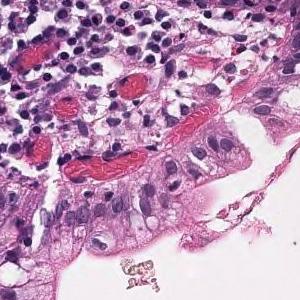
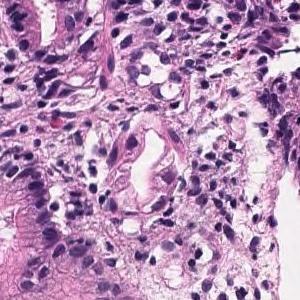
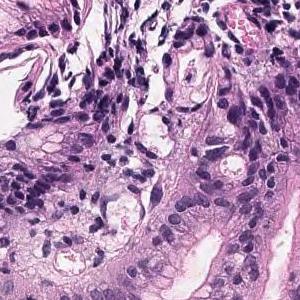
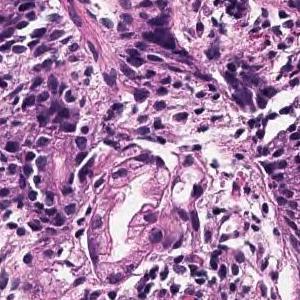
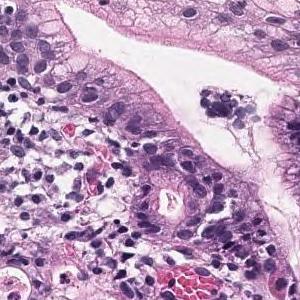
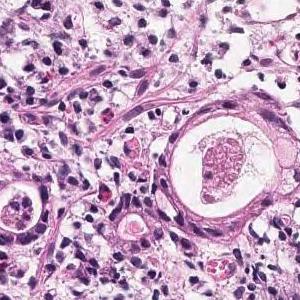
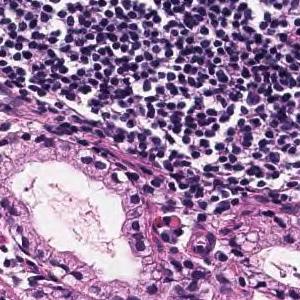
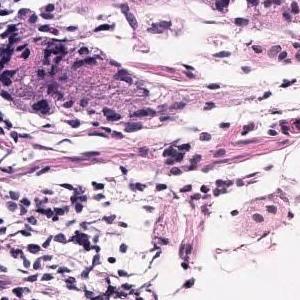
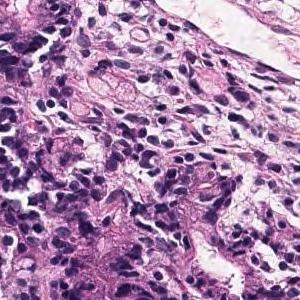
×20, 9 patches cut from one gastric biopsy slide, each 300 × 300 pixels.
The pathologist's report on the biopsy slide these tiles were taken from. The report describes the whole slide, diagnosis included: not every finding it names need appear in these tiles, which may also show non-tumor tissue.
Tumor tissue that grows and grows is observed, showing a medium-sized round or irregular duct. moderately differentiated tubular adenocarcinoma
